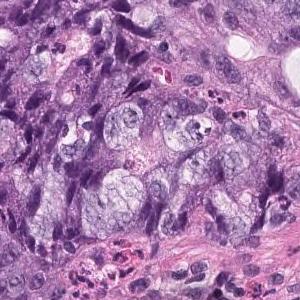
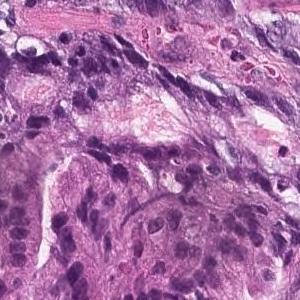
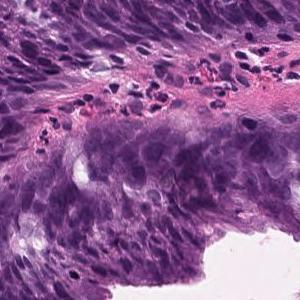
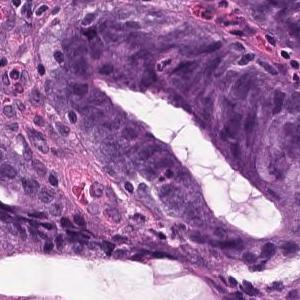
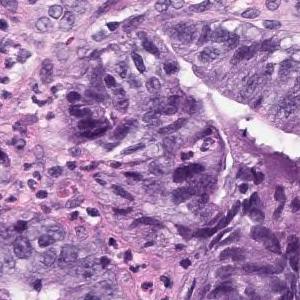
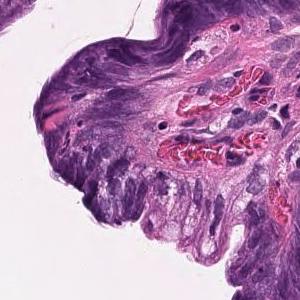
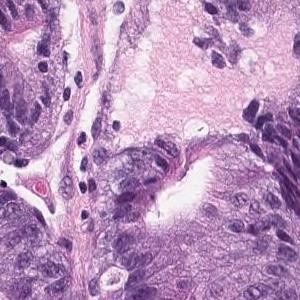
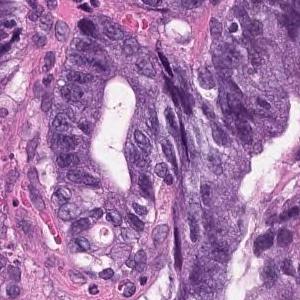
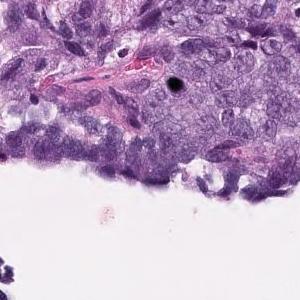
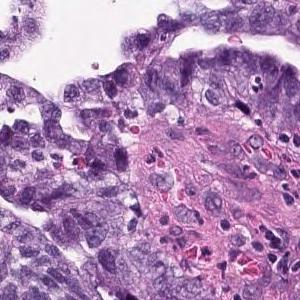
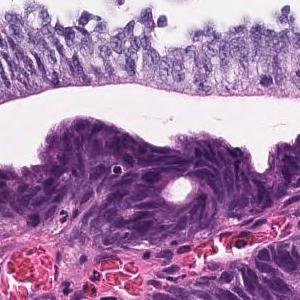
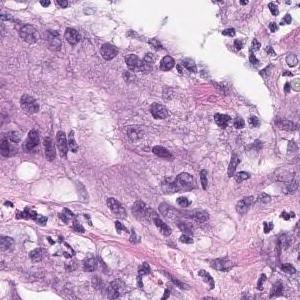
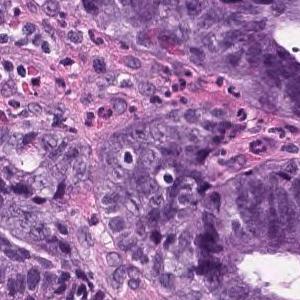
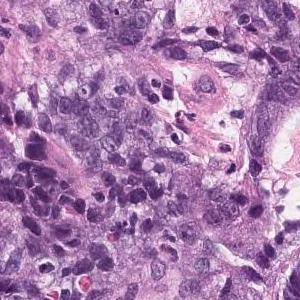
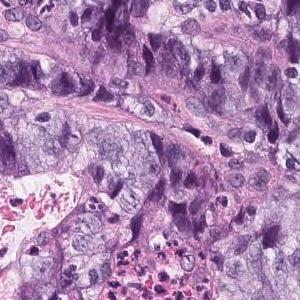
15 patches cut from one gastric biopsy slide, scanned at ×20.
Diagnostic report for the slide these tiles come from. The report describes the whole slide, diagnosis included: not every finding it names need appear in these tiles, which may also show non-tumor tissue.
Large atypical epithelial cells with swollen atypical nuclei are seen proliferating into a tubular fusion gland. moderately differentiated tubular adenocarcinoma
